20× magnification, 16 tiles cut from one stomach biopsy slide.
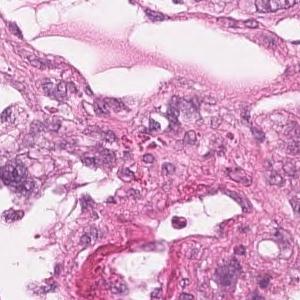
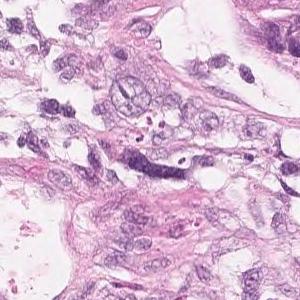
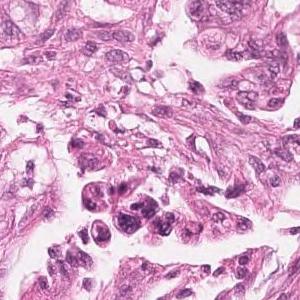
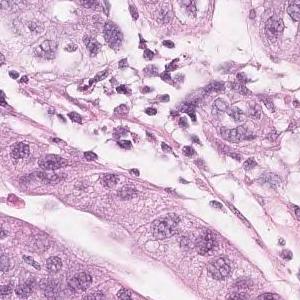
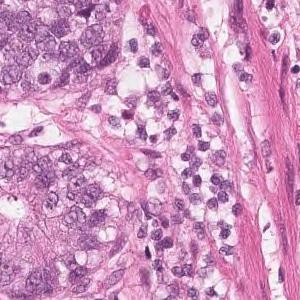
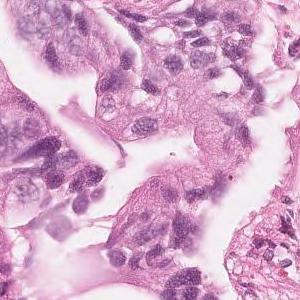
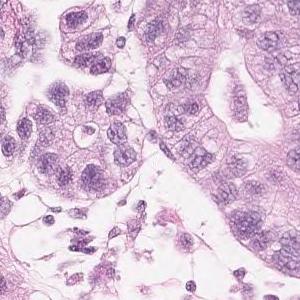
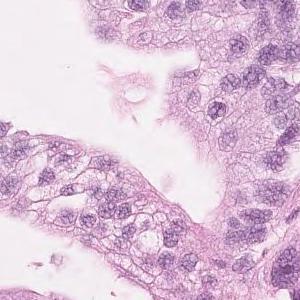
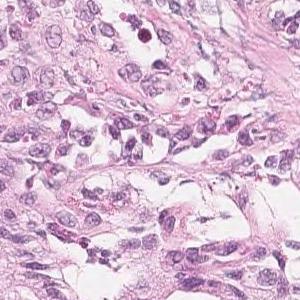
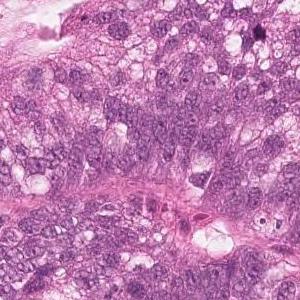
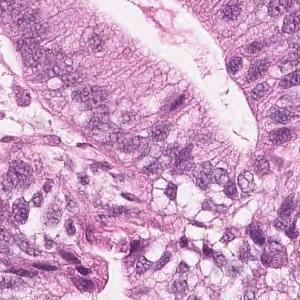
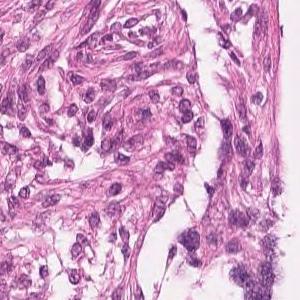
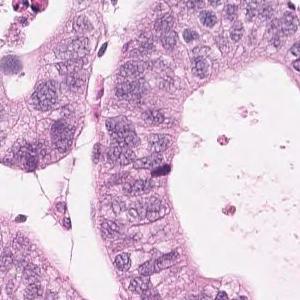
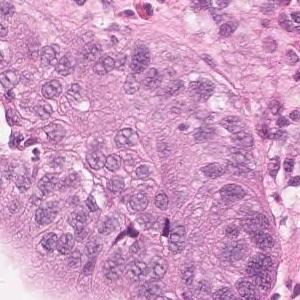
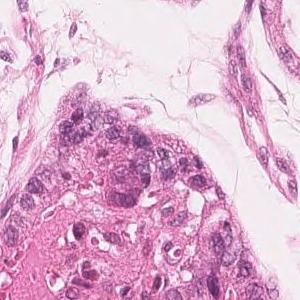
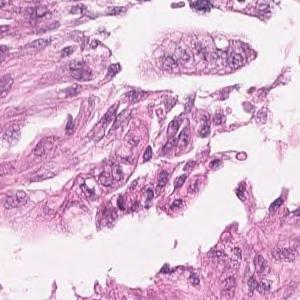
Pathology report for the slide these tiles were cut from. The report and the diagnosis cover the entire slide, so not every feature they name need be visible here, and some tissue shown may not be tumor.
Highly columnar epithelium with disordered nuclear localization proliferates showing fusion ductal construction. moderately differentiated tubular adenocarcinoma
